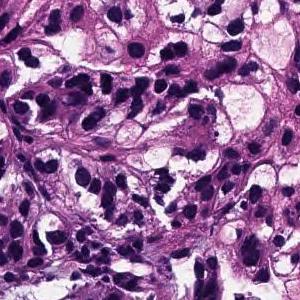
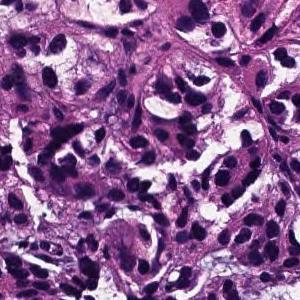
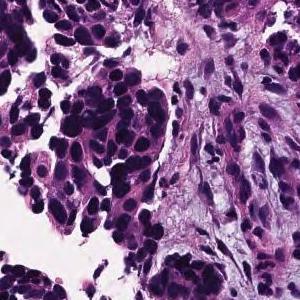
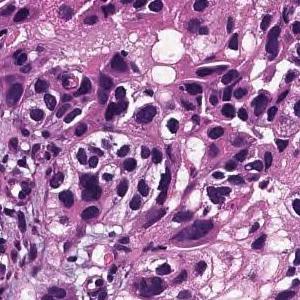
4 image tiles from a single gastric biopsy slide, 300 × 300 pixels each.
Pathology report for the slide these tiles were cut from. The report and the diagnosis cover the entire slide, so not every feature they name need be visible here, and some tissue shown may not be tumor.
Medium to small, irregular glandular ducts are formed in the superficial epithelium, and in some cases, the glandular ducts are fused to show solid alveolar lesions and infiltrating tumor tissue is observed. Moderately to poorly differentiated adenocarcinoma.
